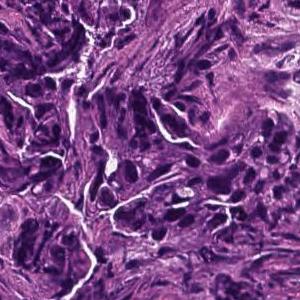
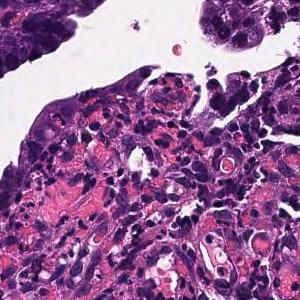
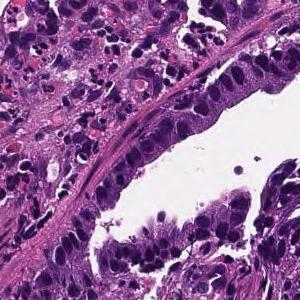
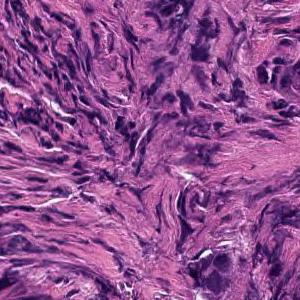
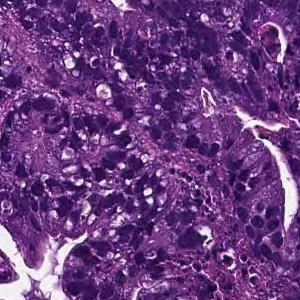
5 tiles cut from one stomach biopsy slide, H&E stain.
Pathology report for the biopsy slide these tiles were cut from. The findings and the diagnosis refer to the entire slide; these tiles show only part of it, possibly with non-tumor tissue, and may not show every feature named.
Tumor cells are large, highly columnar, large club-shaped nuclei, and are associated with chromatin aggregation. Papillary adenocarcinoma.
